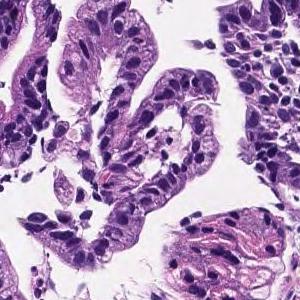
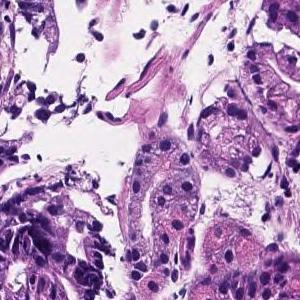
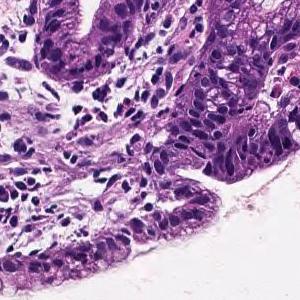
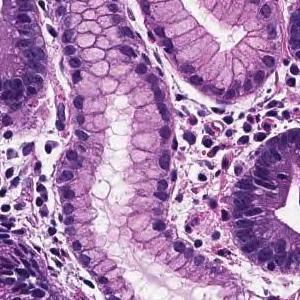
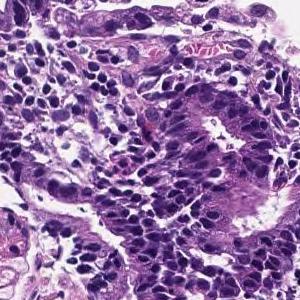
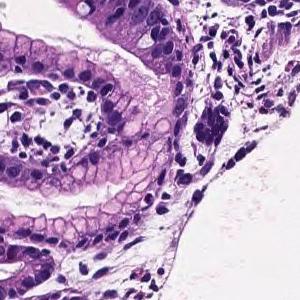
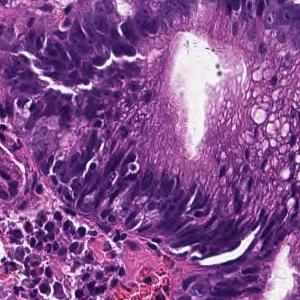
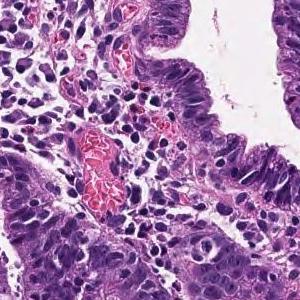
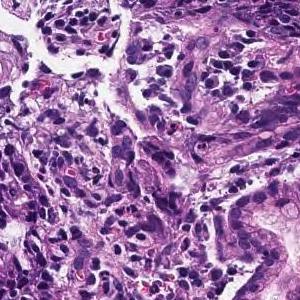
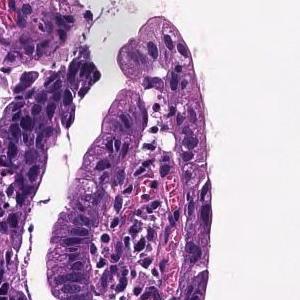
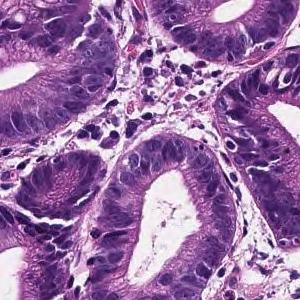
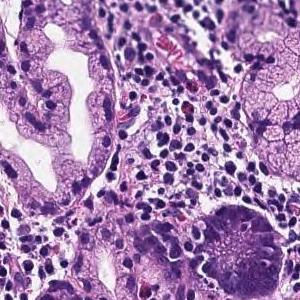
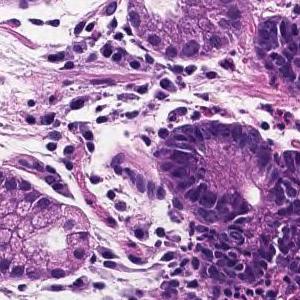
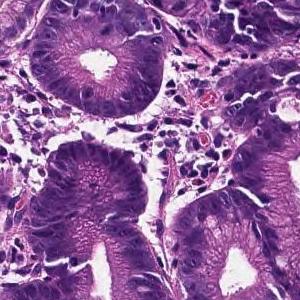
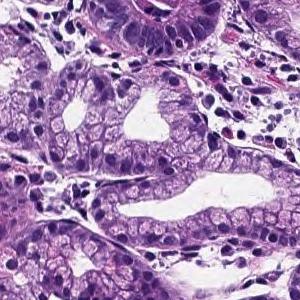
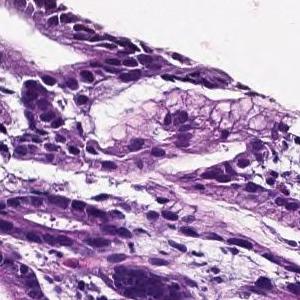
Hematoxylin and eosin stain, ×20, 16 tiles from the same stomach biopsy slide, 300 × 300 pixels each.
The pathologist's report on the biopsy slide these tiles were taken from. The report and the diagnosis cover the entire slide, so not every feature they name need be visible here, and some tissue shown may not be tumor.
From the superficial epithelium to the muscularis mucosae, tumor tissue consisting of medium-sized and irregular glandular ducts infiltrating is observed. Well differentiated tubular adenocarcinoma
